Hematoxylin and eosin stain; ×20; 8 tiles from the same stomach biopsy slide; 300 × 300 pixels each.
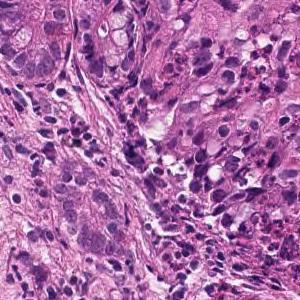
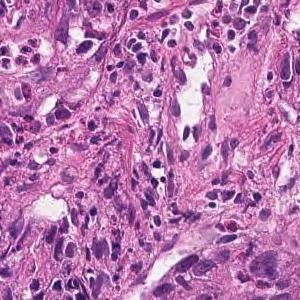
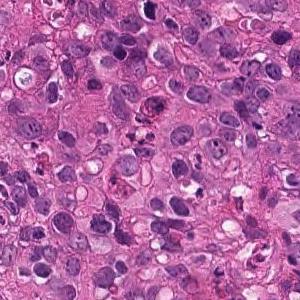
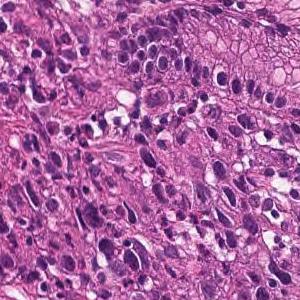
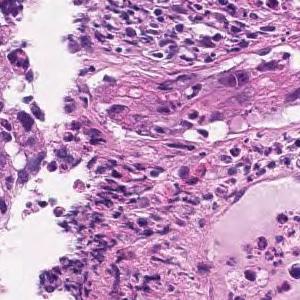
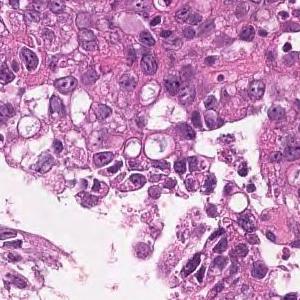
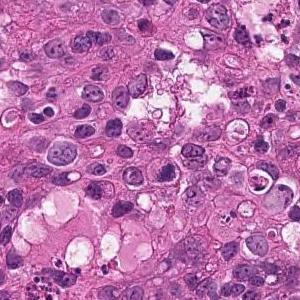
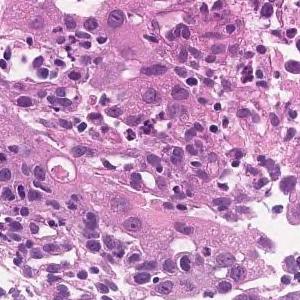
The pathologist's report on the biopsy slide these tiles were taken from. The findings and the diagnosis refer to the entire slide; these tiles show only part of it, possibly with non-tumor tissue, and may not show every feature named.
The superficial epithelium shows a large sheet-like shape, and some tumor tissue infiltrates with small irregular ducts. Poorly differentiated adenocarcinoma, solid-type
Histological subtype: Poorly differentiated adenocarcinoma, solid type, a category of the Japanese Classification of Gastric Carcinoma; in the WHO 2019 classification it is tubular adenocarcinoma, poorly differentiated.
